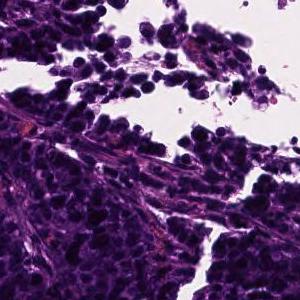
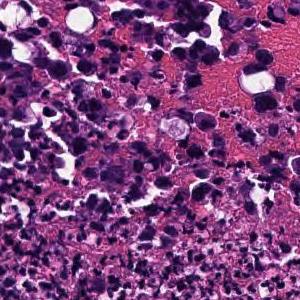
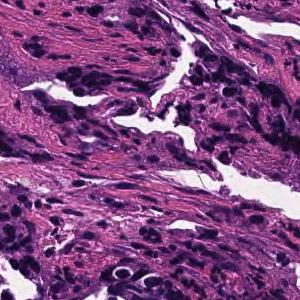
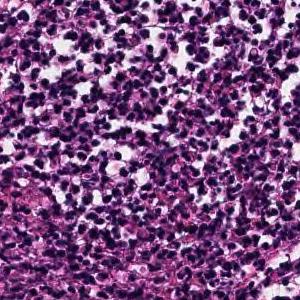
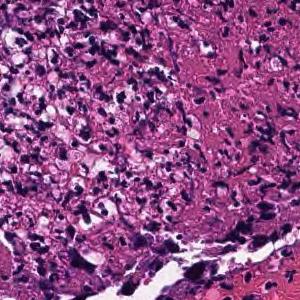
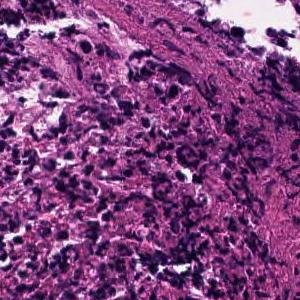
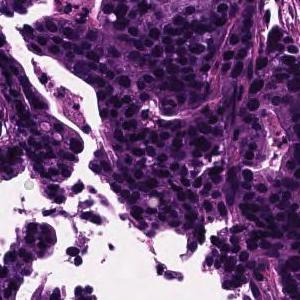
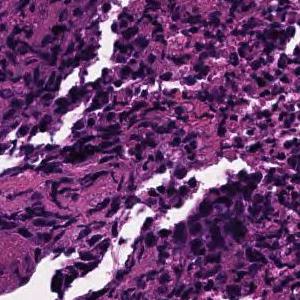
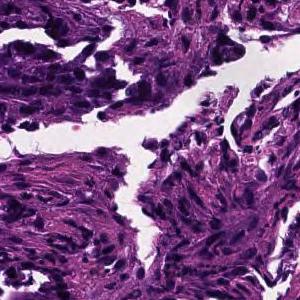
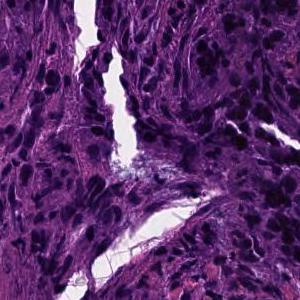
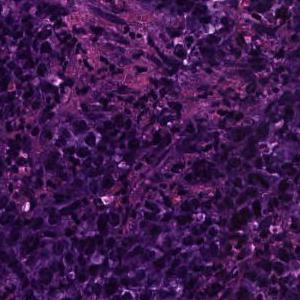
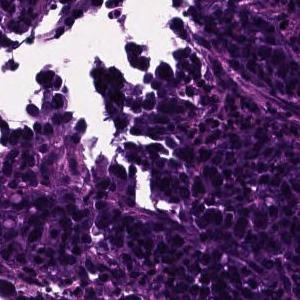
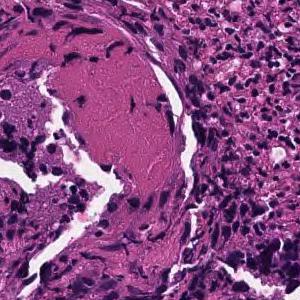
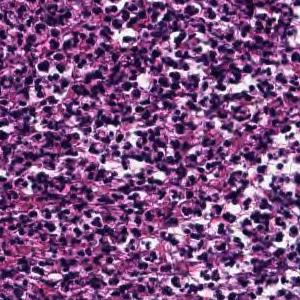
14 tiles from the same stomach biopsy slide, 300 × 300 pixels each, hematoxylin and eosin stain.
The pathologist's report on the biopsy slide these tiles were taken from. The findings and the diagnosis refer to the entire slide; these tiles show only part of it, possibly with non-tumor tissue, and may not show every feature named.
In the superficial epithelium, tumor tissue that invades by forming medium-sized to small, irregular ducts is observed. moderately differentiated tubular adenocarcinoma.
